11 tiles cut from one stomach biopsy slide, H&E stain.
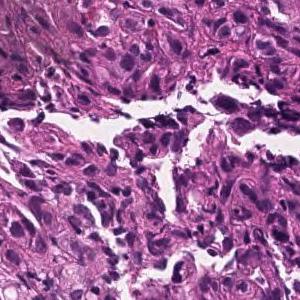
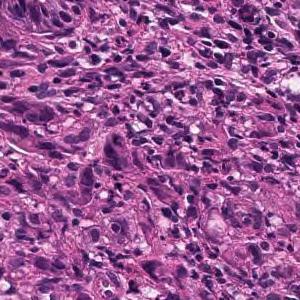
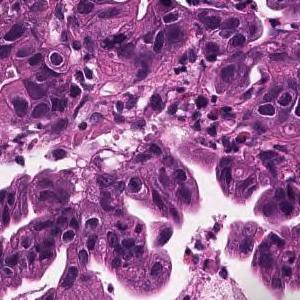
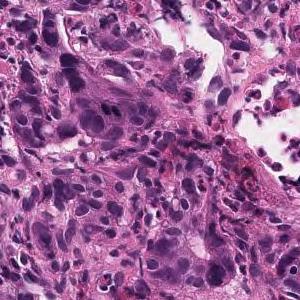
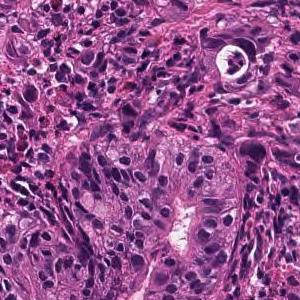
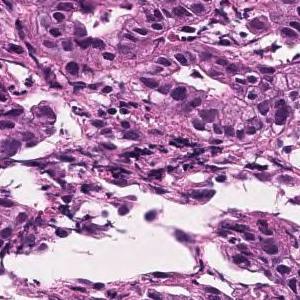
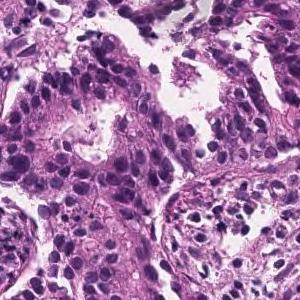
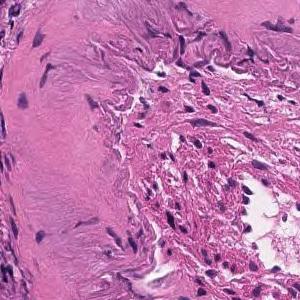
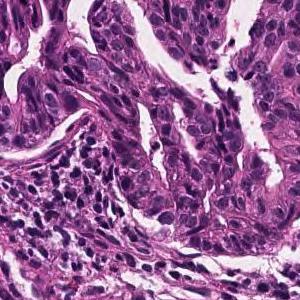
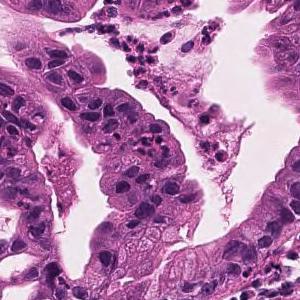
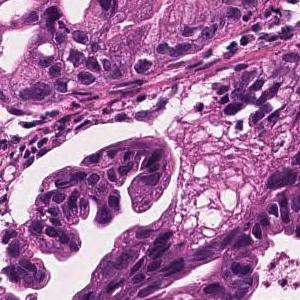
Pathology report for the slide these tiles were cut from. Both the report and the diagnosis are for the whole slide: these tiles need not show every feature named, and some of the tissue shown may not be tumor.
Tumor tissue consisting of medium-sized, cord-like or irregular glandular infiltration is observed in the superficial epithelium. Poorly differentiated adenocarcinoma, non-solid type or moderately differentiated tubular adenocarcinoma
The term "non-solid type" comes from the Japanese Classification of Gastric Carcinoma.
